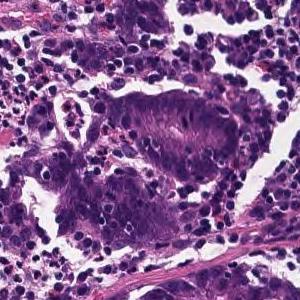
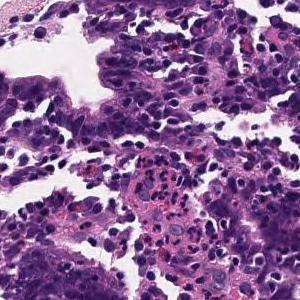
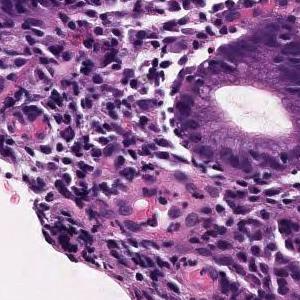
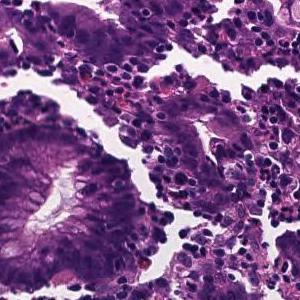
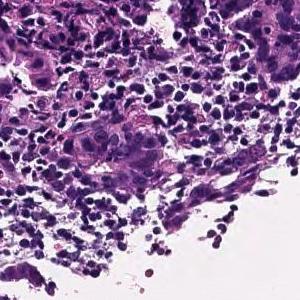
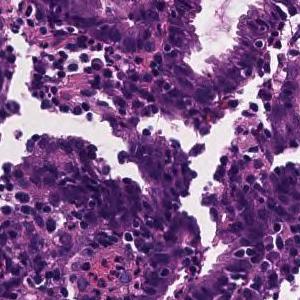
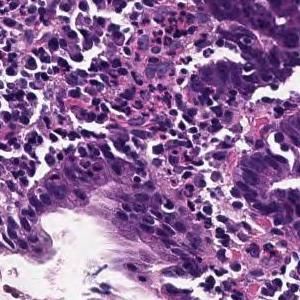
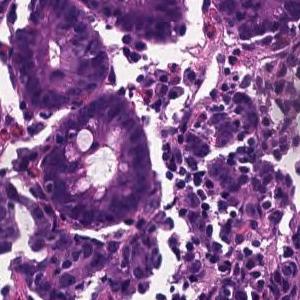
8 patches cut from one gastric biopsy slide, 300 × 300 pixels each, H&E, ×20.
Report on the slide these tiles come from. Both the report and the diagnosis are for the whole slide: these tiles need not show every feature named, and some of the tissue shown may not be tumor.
Tumor tissue consisting of medium-sized, cord-like or irregular glandular infiltration is observed in the superficial epithelium. Poorly differentiated adenocarcinoma, non-solid type or moderately differentiated tubular adenocarcinoma
Subtype: Moderately to poorly differentiated adenocarcinoma.
"Non-solid type" is a category of the Japanese Classification of Gastric Carcinoma.
